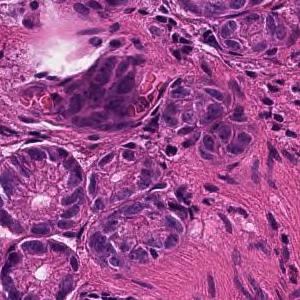
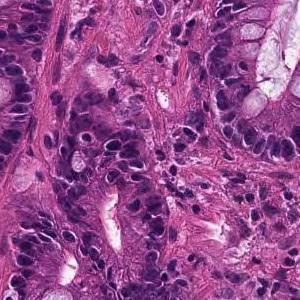
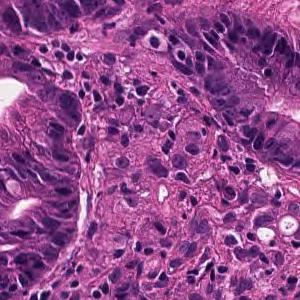
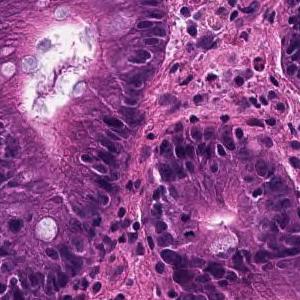
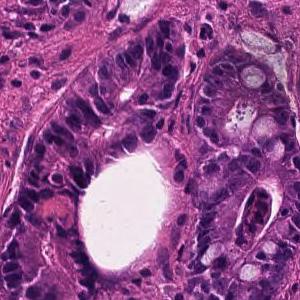
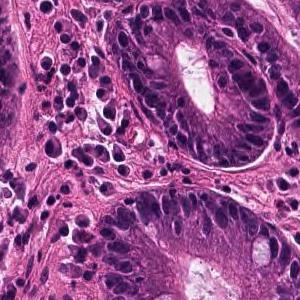
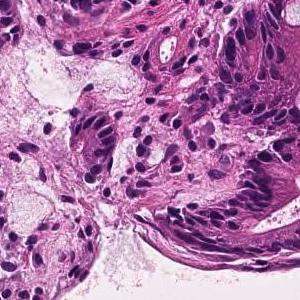
7 image tiles from a single gastric biopsy slide.
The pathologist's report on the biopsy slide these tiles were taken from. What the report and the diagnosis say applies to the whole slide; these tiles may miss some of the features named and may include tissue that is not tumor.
Medium to small, irregular glandular ducts are formed in the superficial epithelium, and in some cases, the glandular ducts are fused to show solid alveolar lesions and infiltrating tumor tissue is observed. Moderately to poorly differentiated adenocarcinoma.
